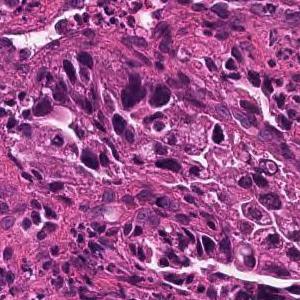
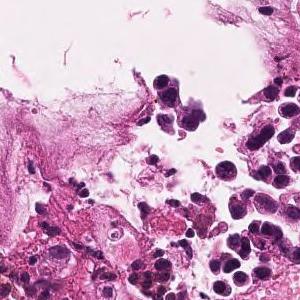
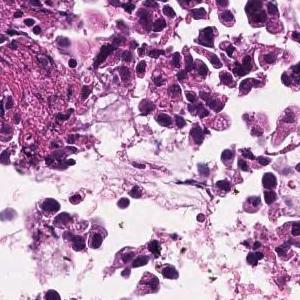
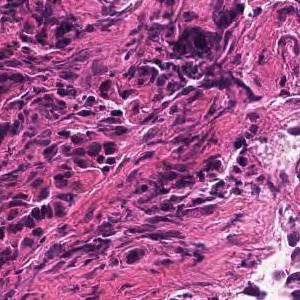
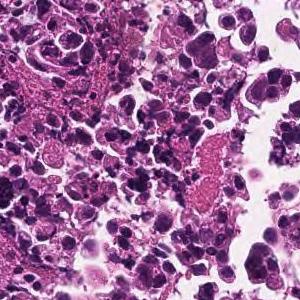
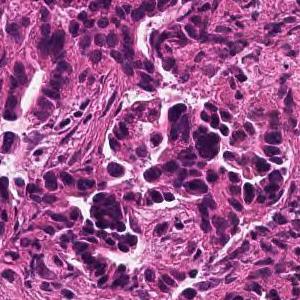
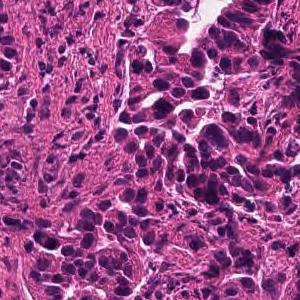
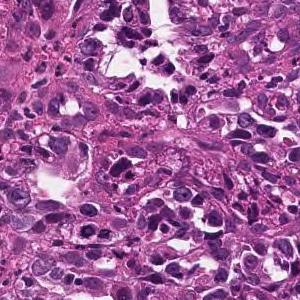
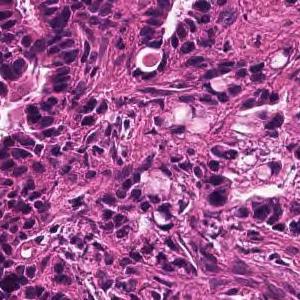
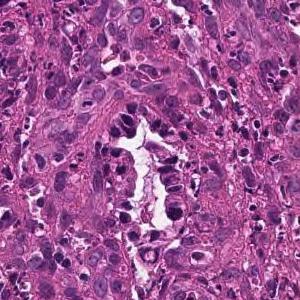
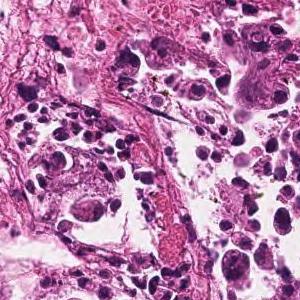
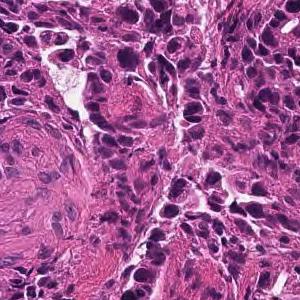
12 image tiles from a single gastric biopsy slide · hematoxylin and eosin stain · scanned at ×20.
Report on the slide these tiles come from. The findings and the diagnosis refer to the entire slide; these tiles show only part of it, possibly with non-tumor tissue, and may not show every feature named.
In the superficial epithelium, tumor tissue that invades by forming medium-sized to small, irregular ducts is observed. moderately differentiated tubular adenocarcinoma.
